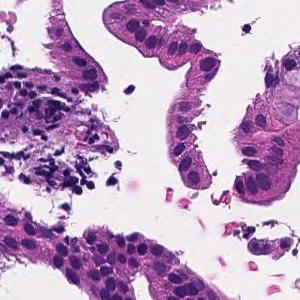
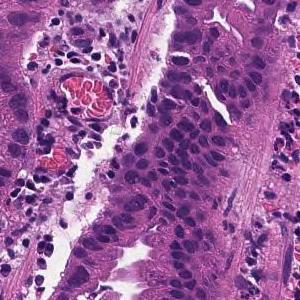
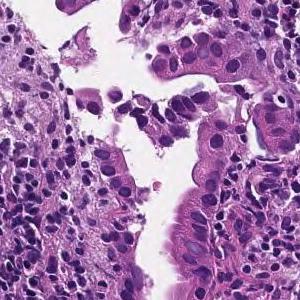
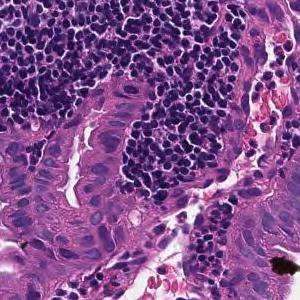
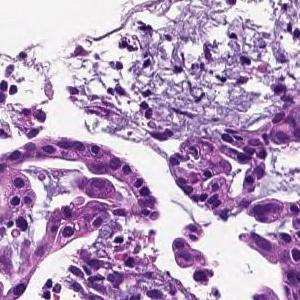
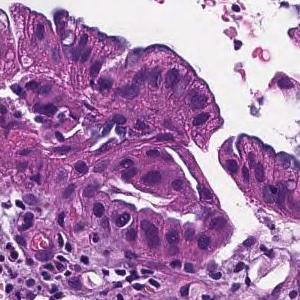
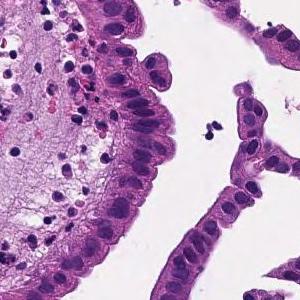
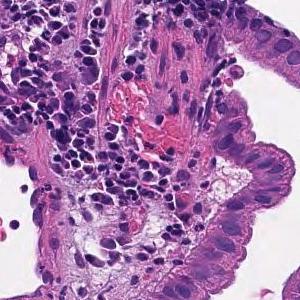
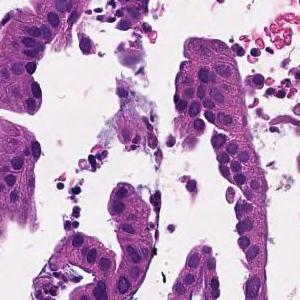
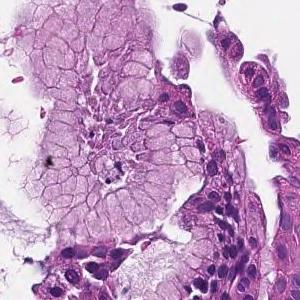
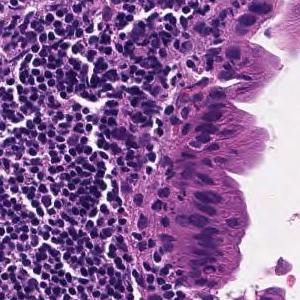
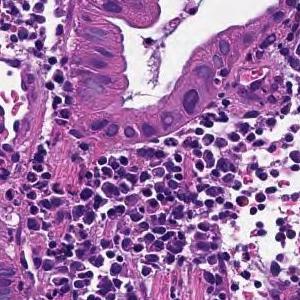
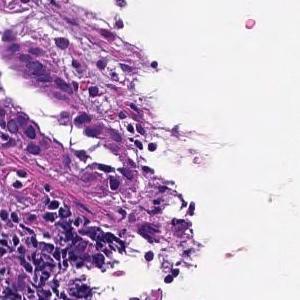
13 image tiles from a single gastric biopsy slide; each 300 × 300 pixels; 20× magnification; H&E.
The pathologist's report on the biopsy slide these tiles were taken from. The report and the diagnosis cover the entire slide, so not every feature they name need be visible here, and some tissue shown may not be tumor.
On the superficial epithelium, tumor tissue that infiltrates by forming medium-sized papillary or small irregular ducts is observed. Papillary adenocarcinoma
